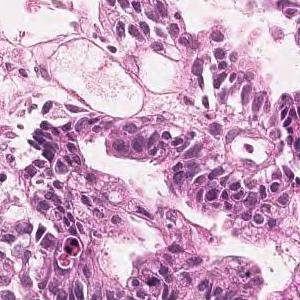
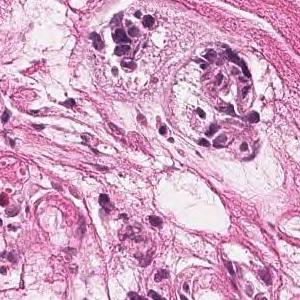
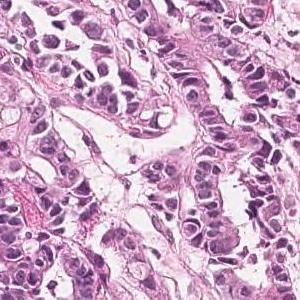
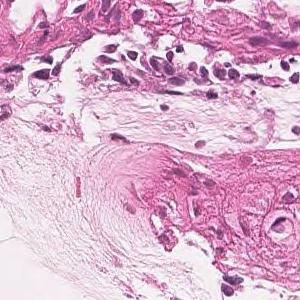
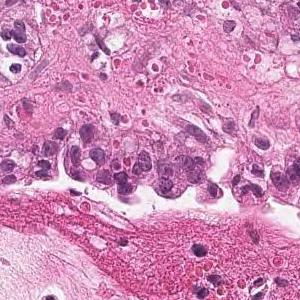
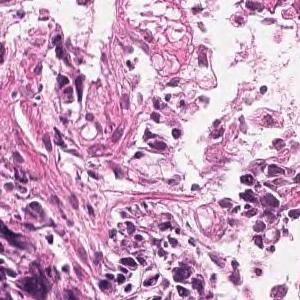
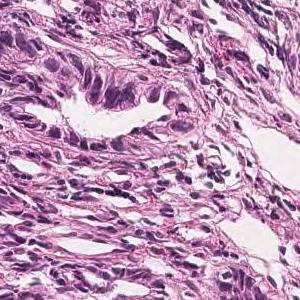
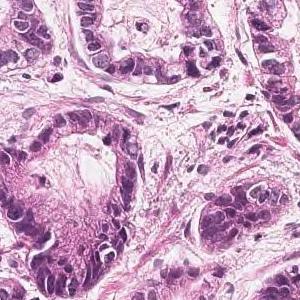
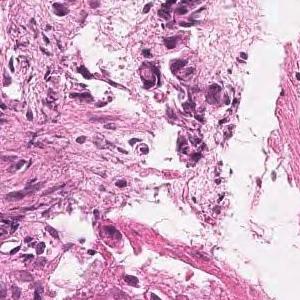
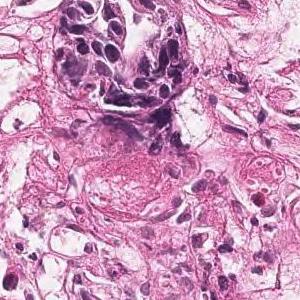
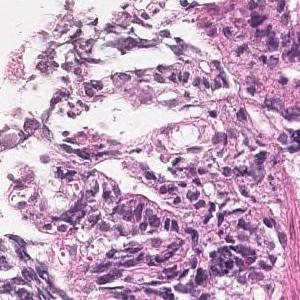
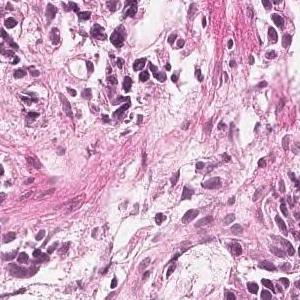
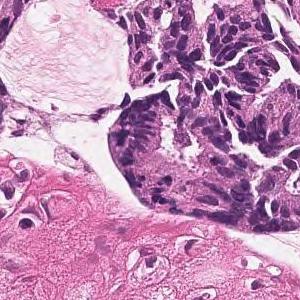
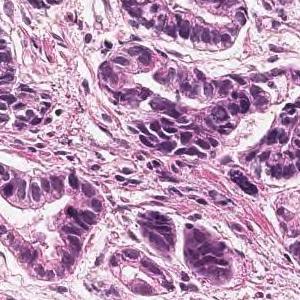
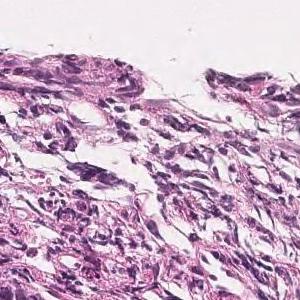
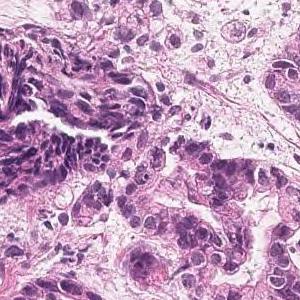
16 tiles from the same stomach biopsy slide, 300×300 px each, hematoxylin and eosin stain.
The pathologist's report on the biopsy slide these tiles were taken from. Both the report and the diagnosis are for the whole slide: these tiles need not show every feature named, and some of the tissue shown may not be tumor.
On the superficial epithelium, tumor tissue consisting of large, irregular glandular ducts partially fused and infiltrated is observed. Well to moderately differentiated tubular adenocarcinoma (well differentiated tubular adenocarcinoma, moderately differentiated tubular adenocarcinoma)
Tumor subtype: well to moderately differentiated tubular adenocarcinoma.
